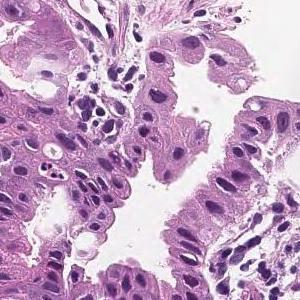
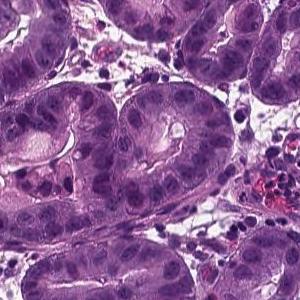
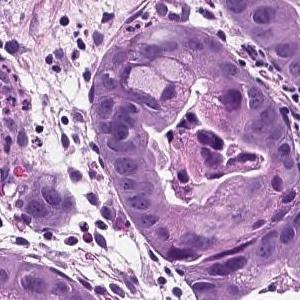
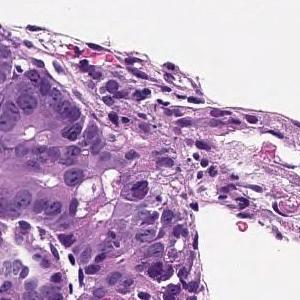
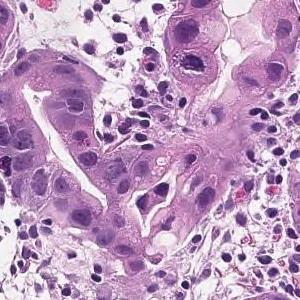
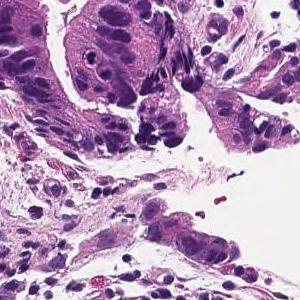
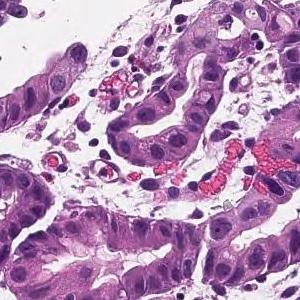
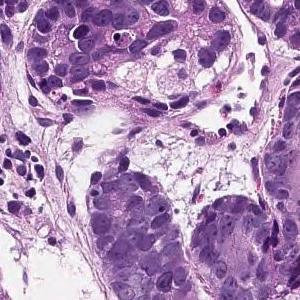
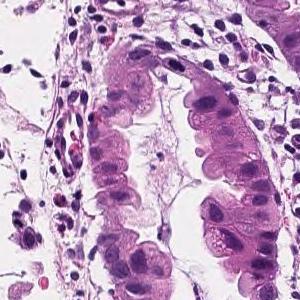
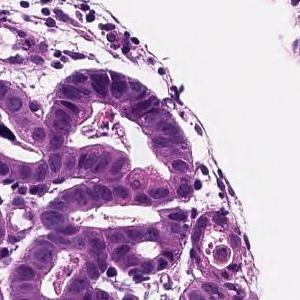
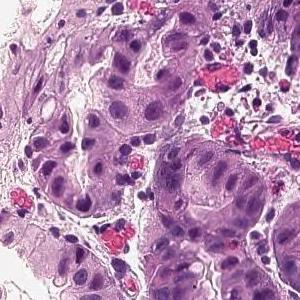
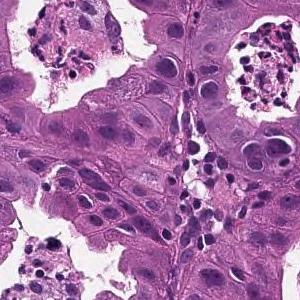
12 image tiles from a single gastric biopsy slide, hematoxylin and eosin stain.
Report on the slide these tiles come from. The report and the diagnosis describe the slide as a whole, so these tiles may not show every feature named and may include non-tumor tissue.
On the superficial epithelium, tumor tissue that infiltrates by forming medium-sized papillary or small irregular ducts is observed. Papillary adenocarcinoma
